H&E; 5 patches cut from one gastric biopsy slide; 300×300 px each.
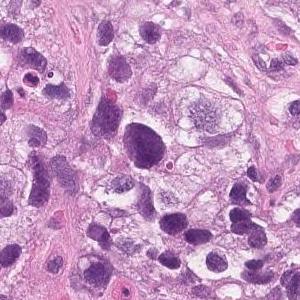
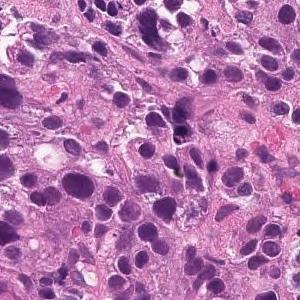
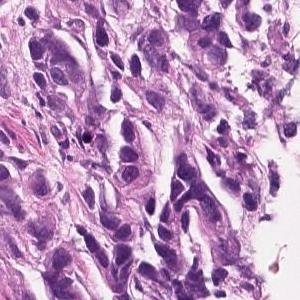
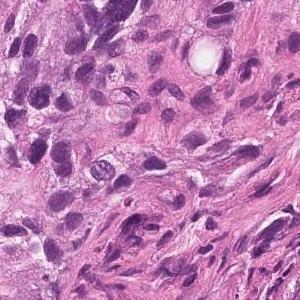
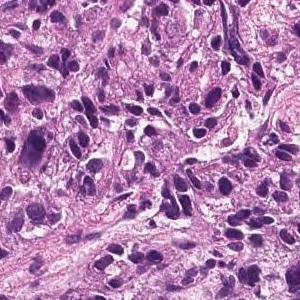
Diagnostic report for the slide these tiles come from. What the report and the diagnosis say applies to the whole slide; these tiles may miss some of the features named and may include tissue that is not tumor.
Tumor tissue that infiltrates the epithelium in an alveolar manner. Poorly differentiated adenocarcinoma, solid-type
Classified as poorly differentiated adenocarcinoma, solid type (Japanese Classification of Gastric Carcinoma). The WHO 2019 equivalent is tubular adenocarcinoma, poorly differentiated.
